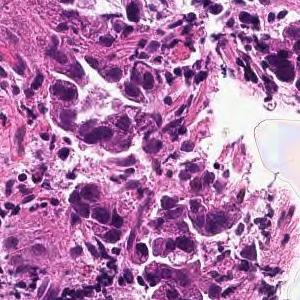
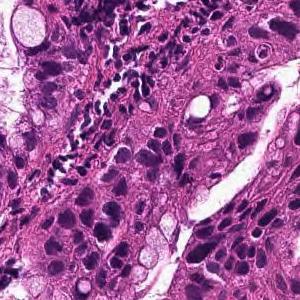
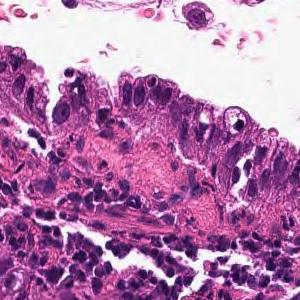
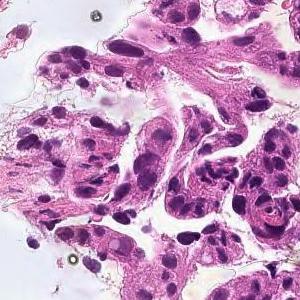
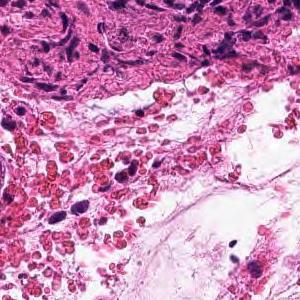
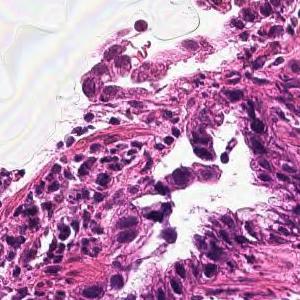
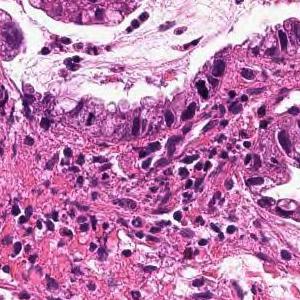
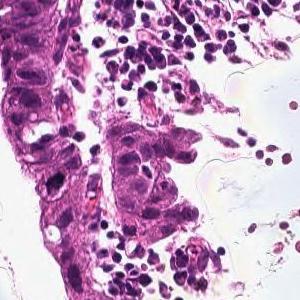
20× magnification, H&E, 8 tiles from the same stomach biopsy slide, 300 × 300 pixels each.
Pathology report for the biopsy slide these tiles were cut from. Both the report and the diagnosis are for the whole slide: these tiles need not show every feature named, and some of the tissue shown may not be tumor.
From the superficial epithelium to the muscularis mucosae, tumor tissue infiltrating by forming medium-sized irregular gland ducts is observed. Well differentiated tubular adenocarcinoma
